5 image tiles from a single gastric biopsy slide · 300×300 px each · H&E stain.
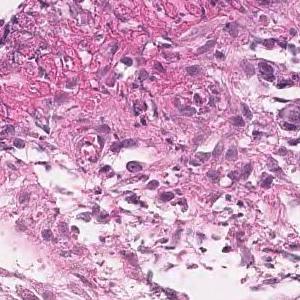
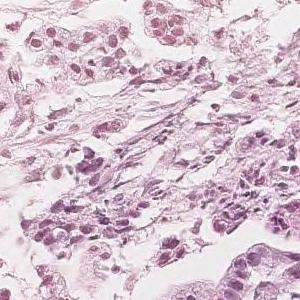
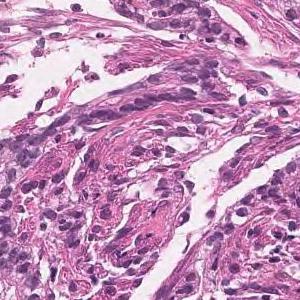
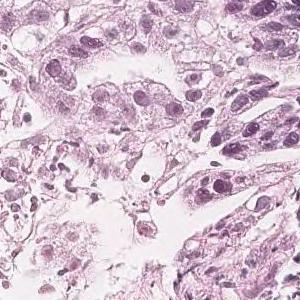
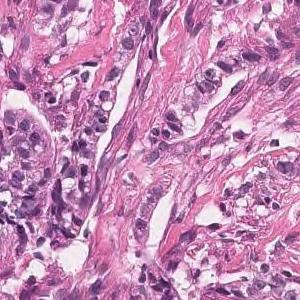
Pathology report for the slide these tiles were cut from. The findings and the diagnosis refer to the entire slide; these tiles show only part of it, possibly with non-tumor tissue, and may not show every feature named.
Tumor tissue in which highly columnar atypical epithelial cells with nuclear enlargement and increased nuclear chromatin show papillary to papillary ductal structure and proliferate is observed. Papillary adenocarcinoma.
